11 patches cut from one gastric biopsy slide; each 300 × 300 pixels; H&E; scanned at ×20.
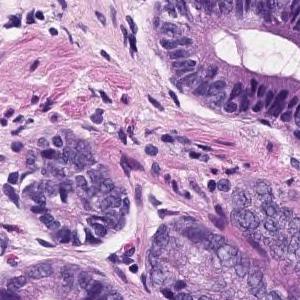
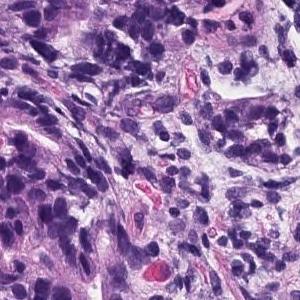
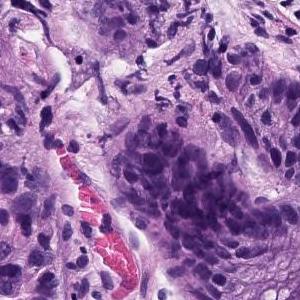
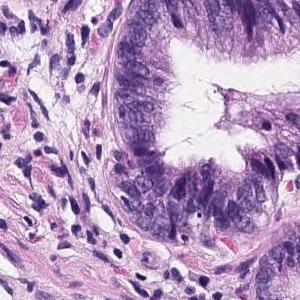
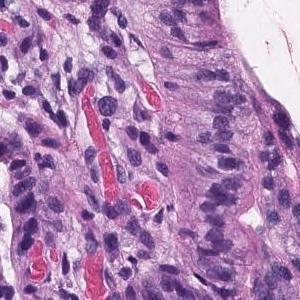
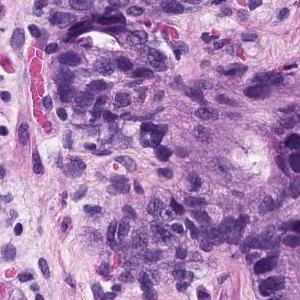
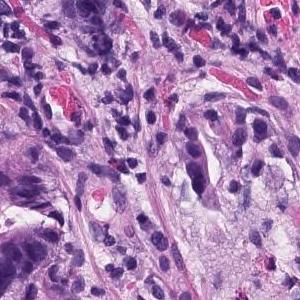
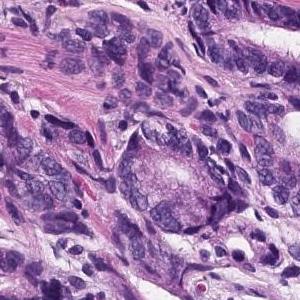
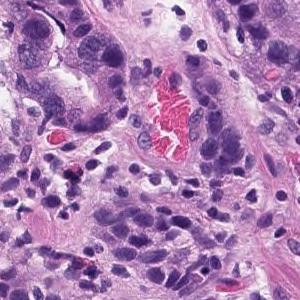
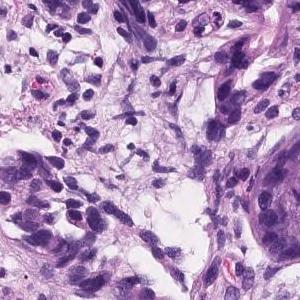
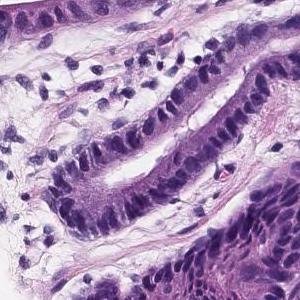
Diagnostic report for the slide these tiles come from. The report describes the whole slide, diagnosis included: not every finding it names need appear in these tiles, which may also show non-tumor tissue.
In the superficial epithelium, tumor tissue that invades by forming medium-sized to small, irregular ducts is observed. Moderately differentiated adenocarcinoma.
Classified as moderately differentiated tubular adenocarcinoma.
